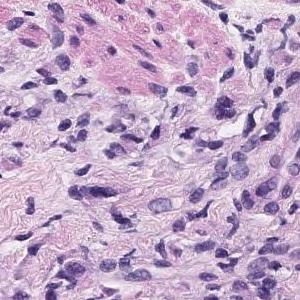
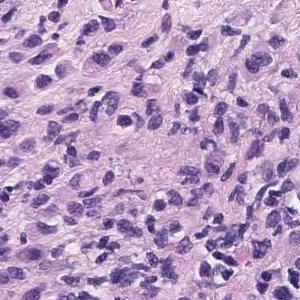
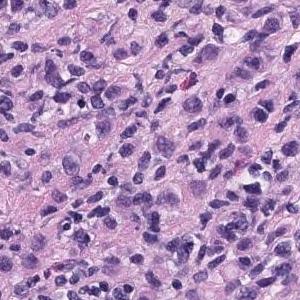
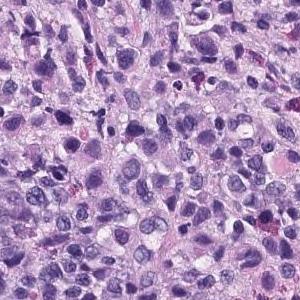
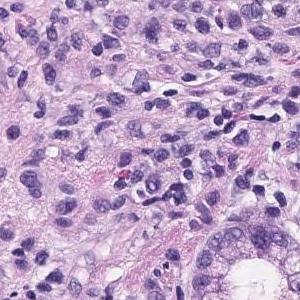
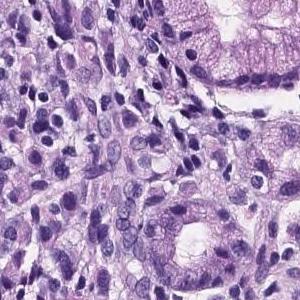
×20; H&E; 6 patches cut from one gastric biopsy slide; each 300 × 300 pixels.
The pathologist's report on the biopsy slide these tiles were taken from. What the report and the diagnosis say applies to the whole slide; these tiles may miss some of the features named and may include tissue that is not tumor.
There are medium-sized atypical cells with marked nuclear swelling and increased N/C ratio, which grow into solid or isolated scattered cells. Poorly differentiated adenocarcinoma
Subtype: Poorly differentiated adenocarcinoma, solid type (Japanese Classification of Gastric Carcinoma). The WHO 2019 equivalent is tubular adenocarcinoma, poorly differentiated.
